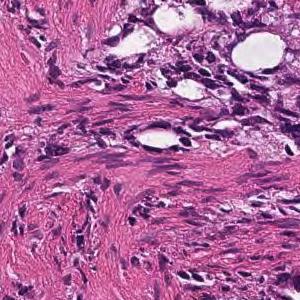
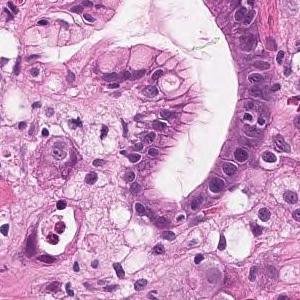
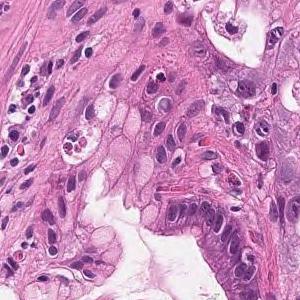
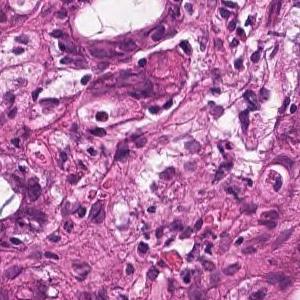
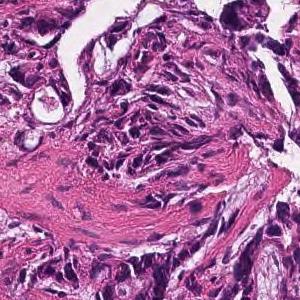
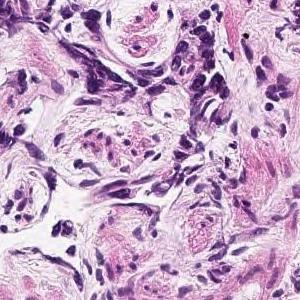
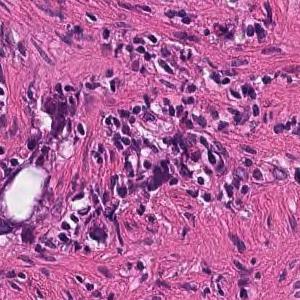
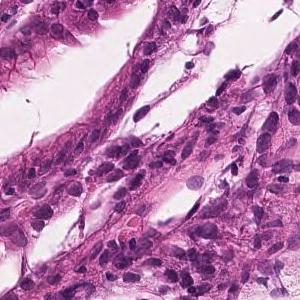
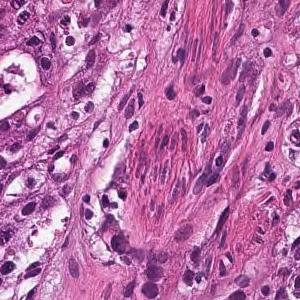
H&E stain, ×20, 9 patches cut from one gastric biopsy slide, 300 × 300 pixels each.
Diagnostic report for the slide these tiles come from. Both the report and the diagnosis are for the whole slide: these tiles need not show every feature named, and some of the tissue shown may not be tumor.
In the gastric mucosal tissue, tumor tissue that forms irregular glandular cavities of medium to small size or shows small cords and infiltrates is observed. moderately differentiated tubular adenocarcinoma
